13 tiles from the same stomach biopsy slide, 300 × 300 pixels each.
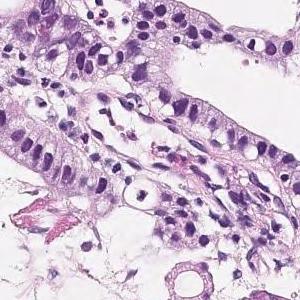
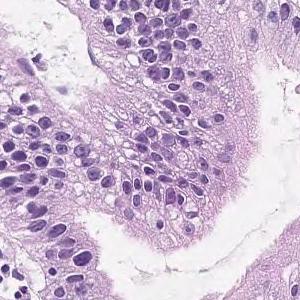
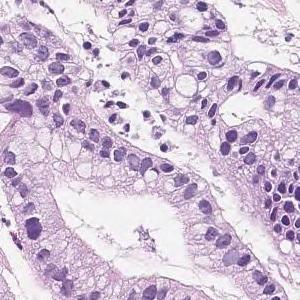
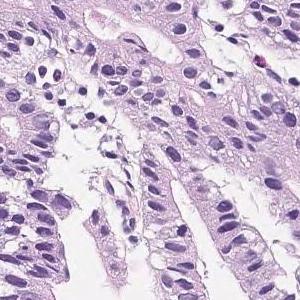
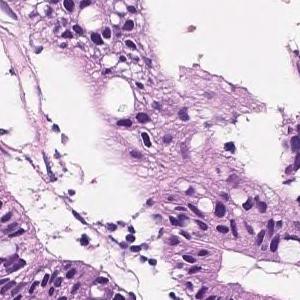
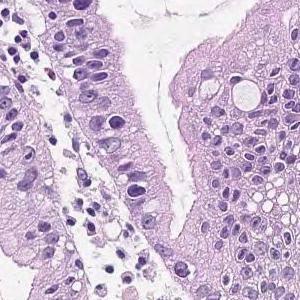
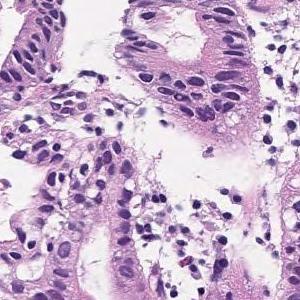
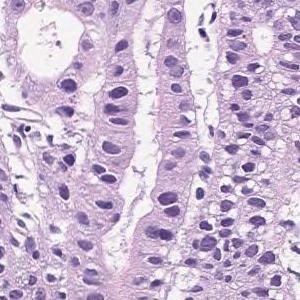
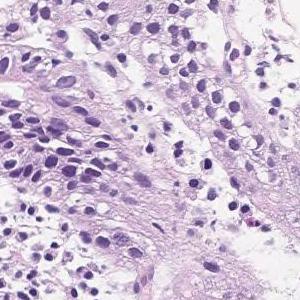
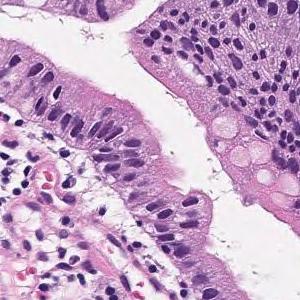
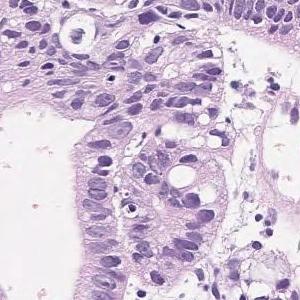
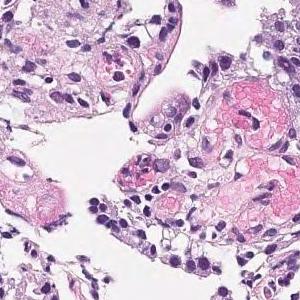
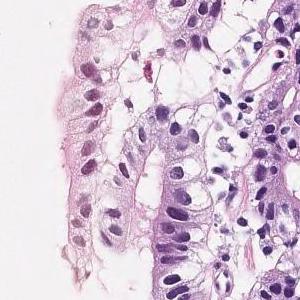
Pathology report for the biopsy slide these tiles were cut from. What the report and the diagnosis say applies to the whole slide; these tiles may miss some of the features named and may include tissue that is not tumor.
On the superficial epithelium, tumor tissue that infiltrates by forming medium-sized papillary or small irregular ducts is observed. Papillary adenocarcinoma
